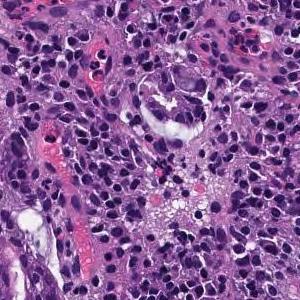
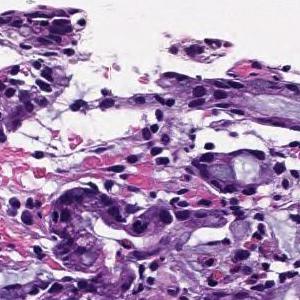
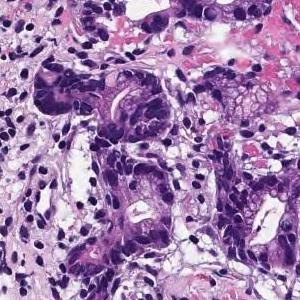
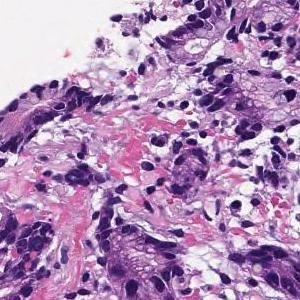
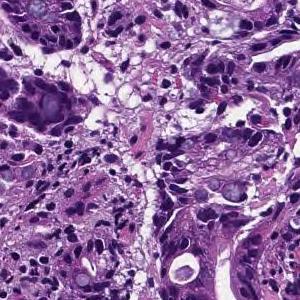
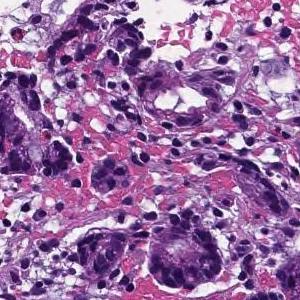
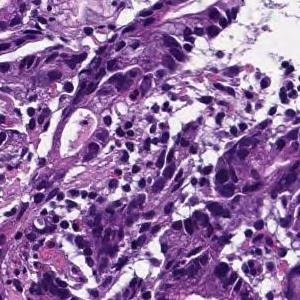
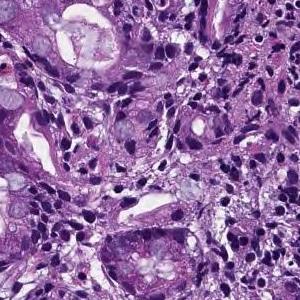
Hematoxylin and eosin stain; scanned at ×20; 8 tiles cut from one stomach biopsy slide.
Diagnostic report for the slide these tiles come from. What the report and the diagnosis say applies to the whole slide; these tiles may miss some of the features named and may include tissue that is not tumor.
Tumor tissue consisting of medium-sized, cord-like or irregular glandular infiltration is observed in the superficial epithelium. Poorly differentiated adenocarcinoma, non-solid type or moderately differentiated tubular adenocarcinoma
Histological subtype: Moderately to poorly differentiated adenocarcinoma.
"Non-solid type" is a category of the Japanese Classification of Gastric Carcinoma.
